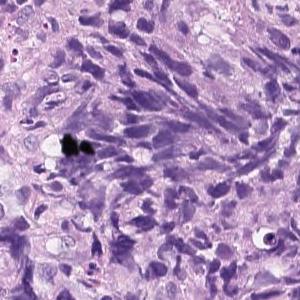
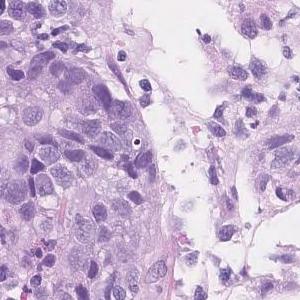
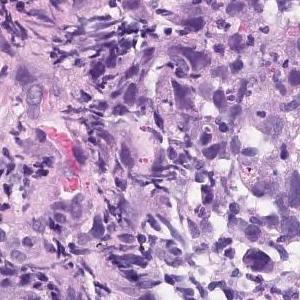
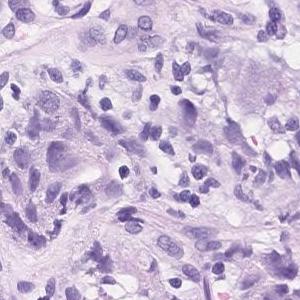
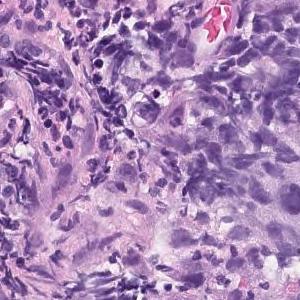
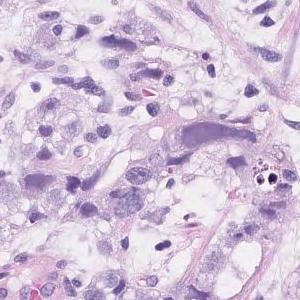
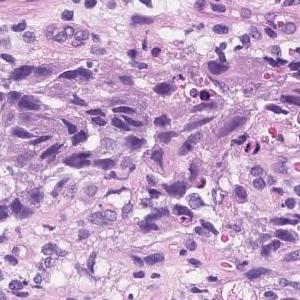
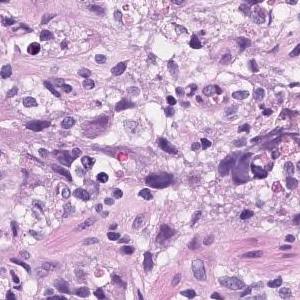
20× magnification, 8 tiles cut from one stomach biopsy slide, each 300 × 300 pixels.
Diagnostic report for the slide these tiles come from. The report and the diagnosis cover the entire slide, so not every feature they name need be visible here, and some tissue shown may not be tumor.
Atypical epithelial cells infiltrating and proliferating diffusely or while forming vesicles is observed. Poorly differentiated adenocarcinoma (poorly differentiated adenocarcinoma, solid type moderately differentiated tubular adenocarcinoma)
Labeled in the dataset as poorly differentiated adenocarcinoma, solid type, a category of the Japanese Classification of Gastric Carcinoma; in the WHO 2019 classification it is tubular adenocarcinoma, poorly differentiated.
